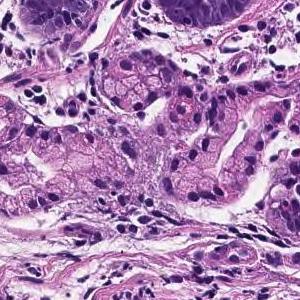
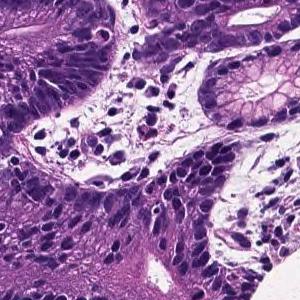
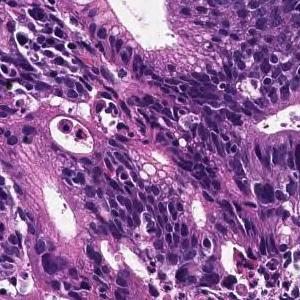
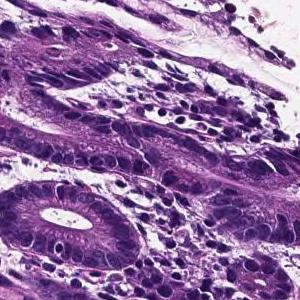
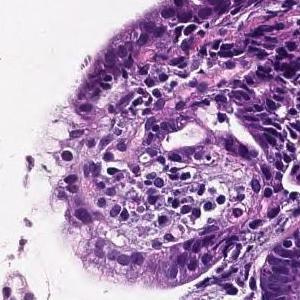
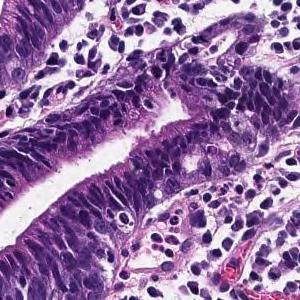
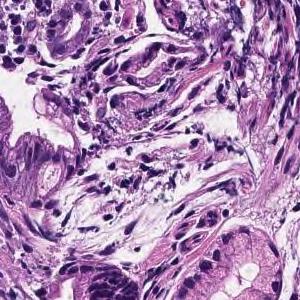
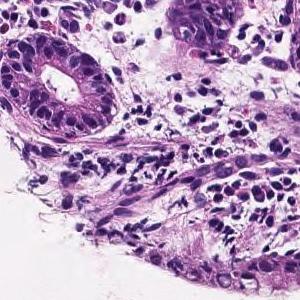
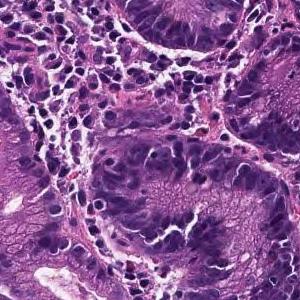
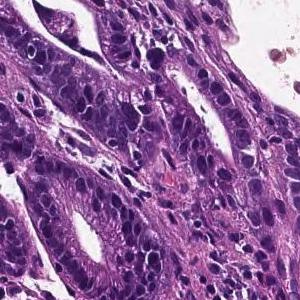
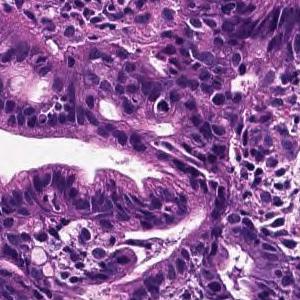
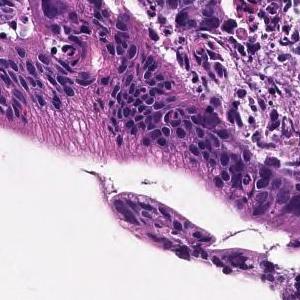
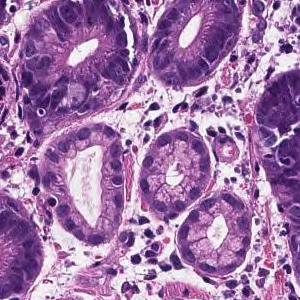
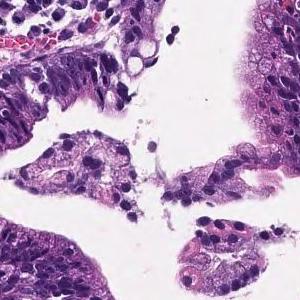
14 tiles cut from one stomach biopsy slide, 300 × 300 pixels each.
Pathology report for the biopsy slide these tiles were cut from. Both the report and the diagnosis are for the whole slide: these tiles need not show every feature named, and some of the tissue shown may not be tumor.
From the superficial epithelium to the muscularis mucosae, tumor tissue consisting of medium-sized and irregular glandular ducts infiltrating is observed. Well differentiated tubular adenocarcinoma
